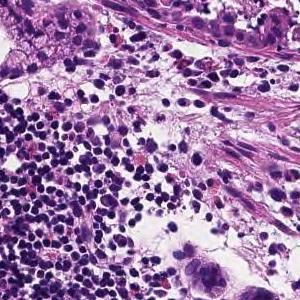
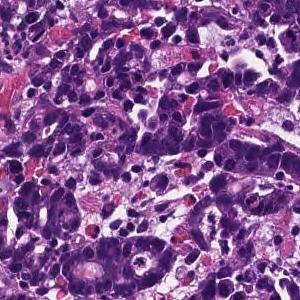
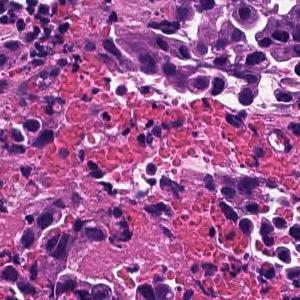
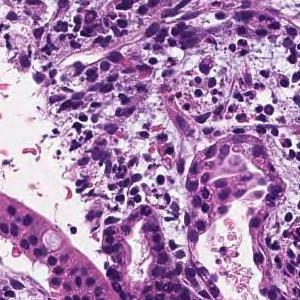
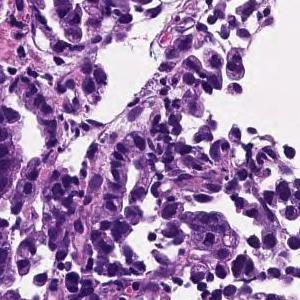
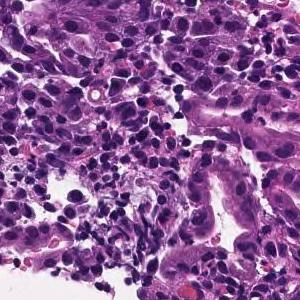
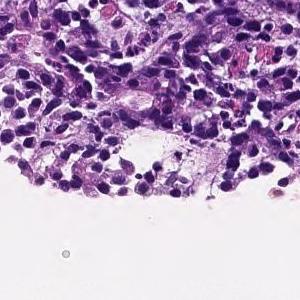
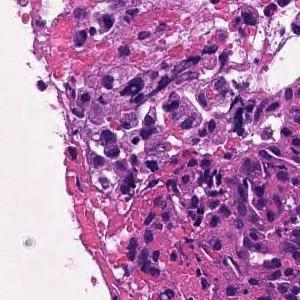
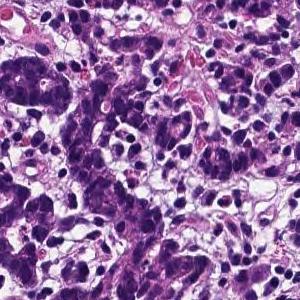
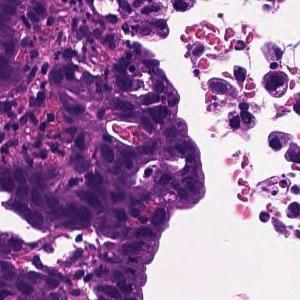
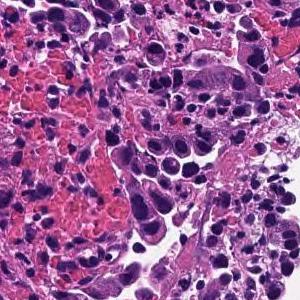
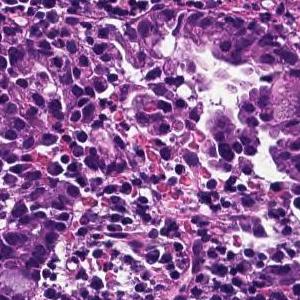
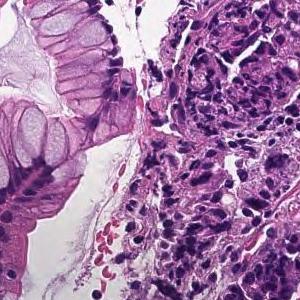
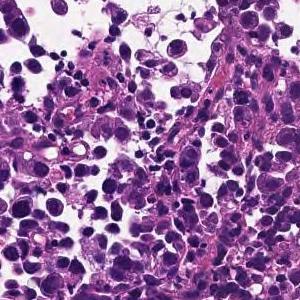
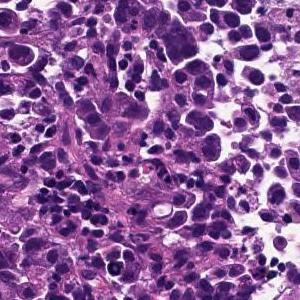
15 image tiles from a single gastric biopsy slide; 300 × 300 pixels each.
Pathology report for the slide these tiles were cut from. The report and the diagnosis cover the entire slide, so not every feature they name need be visible here, and some tissue shown may not be tumor.
In the superficial epithelium, tumor tissue that invades by forming medium-sized to small, irregular ducts is observed. moderately differentiated tubular adenocarcinoma.
